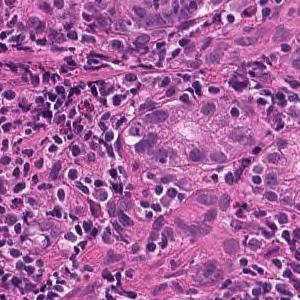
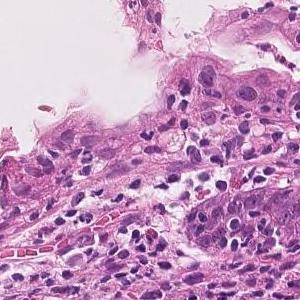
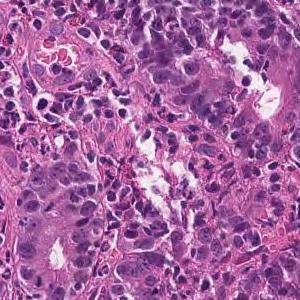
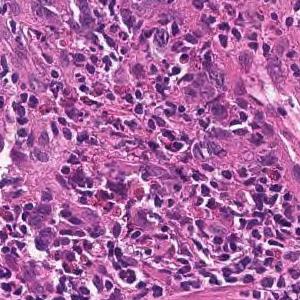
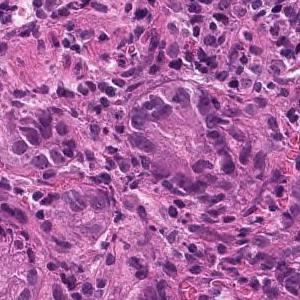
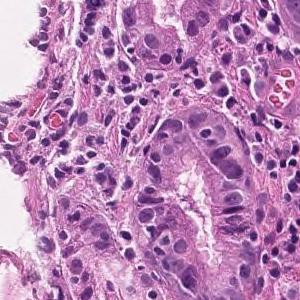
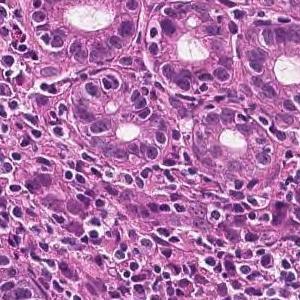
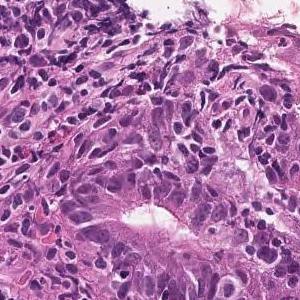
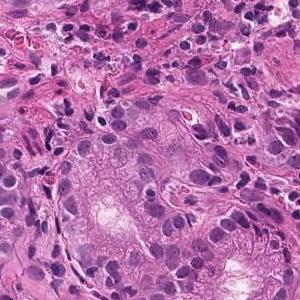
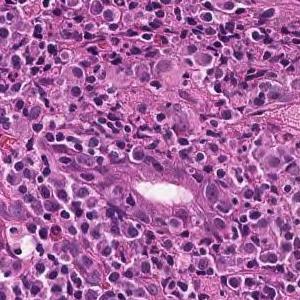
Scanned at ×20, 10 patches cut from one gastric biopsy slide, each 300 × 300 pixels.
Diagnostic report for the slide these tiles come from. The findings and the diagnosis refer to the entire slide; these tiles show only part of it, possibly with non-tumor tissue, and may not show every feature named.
Tumor tissue consisting of medium-sized, cord-like or irregular glandular infiltration is observed in the superficial epithelium. Poorly differentiated adenocarcinoma, non-solid type or moderately differentiated tubular adenocarcinoma
Labeled in the dataset as poorly differentiated adenocarcinoma, non-solid type.
The term "non-solid type" comes from the Japanese Classification of Gastric Carcinoma.
